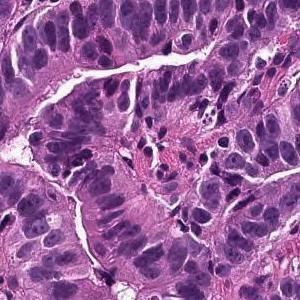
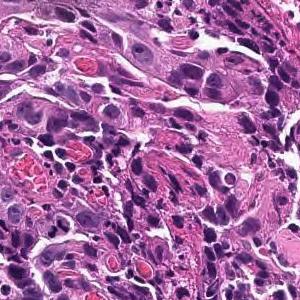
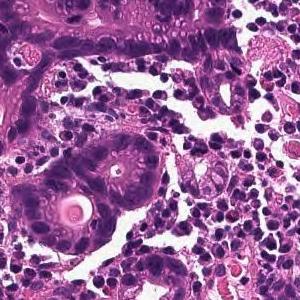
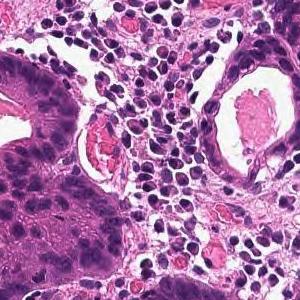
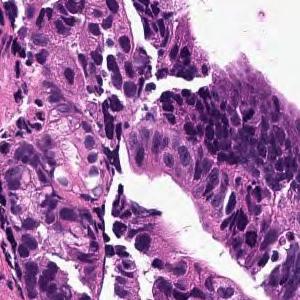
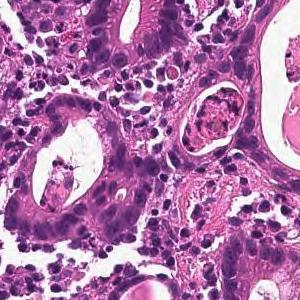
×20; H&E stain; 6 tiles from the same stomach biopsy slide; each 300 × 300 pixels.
Pathology report for the biopsy slide these tiles were cut from. The report and the diagnosis describe the slide as a whole, so these tiles may not show every feature named and may include non-tumor tissue.
On the superficial epithelium, tumor tissue consisting of large, irregular glandular ducts partially fused and infiltrated is observed. Well to moderately differentiated tubular adenocarcinoma (well differentiated tubular adenocarcinoma, moderately differentiated tubular adenocarcinoma)
Histological subtype: Well to moderately differentiated tubular adenocarcinoma.
